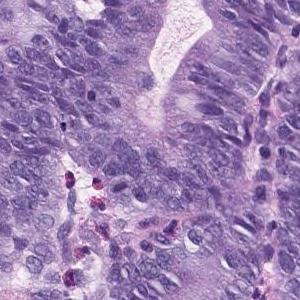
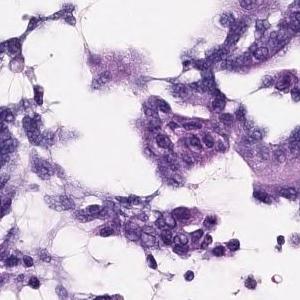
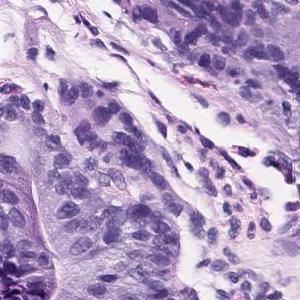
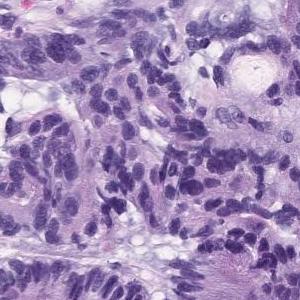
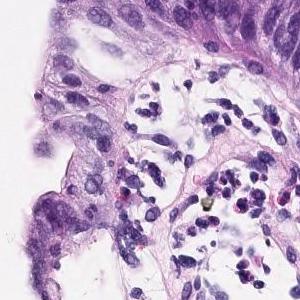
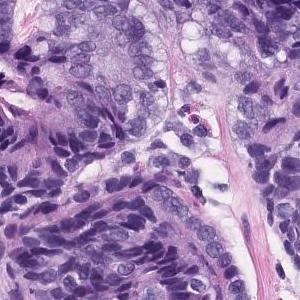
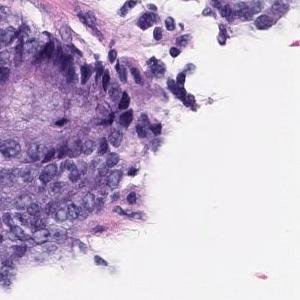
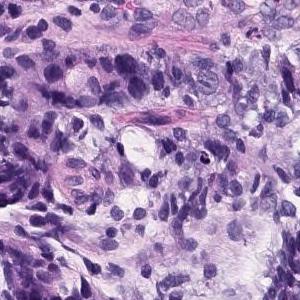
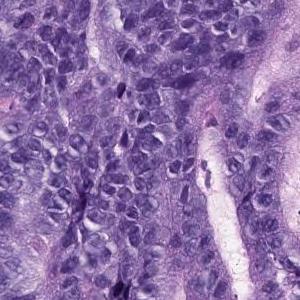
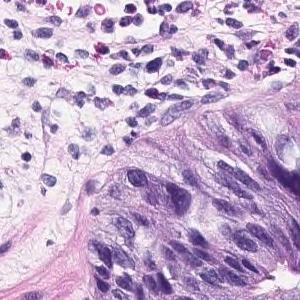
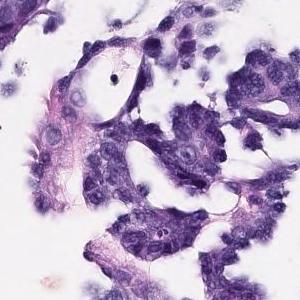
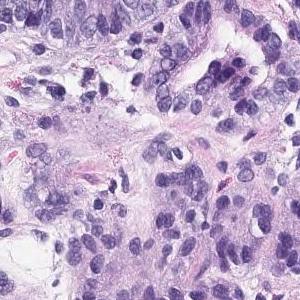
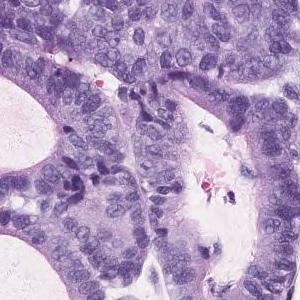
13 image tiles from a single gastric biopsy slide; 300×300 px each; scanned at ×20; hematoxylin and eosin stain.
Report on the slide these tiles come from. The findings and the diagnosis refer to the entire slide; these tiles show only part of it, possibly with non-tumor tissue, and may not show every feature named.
In the superficial epithelium, tumor tissue that invades by forming medium-sized to small, irregular ducts is observed. Well to moderately differentiated tubular adenocarcinoma.
